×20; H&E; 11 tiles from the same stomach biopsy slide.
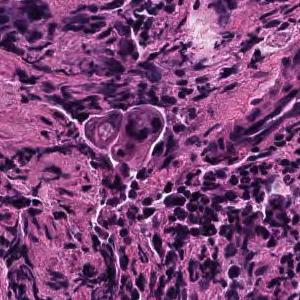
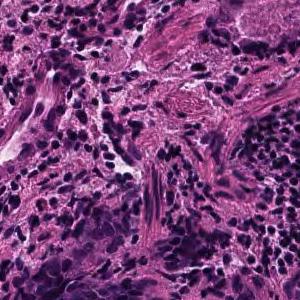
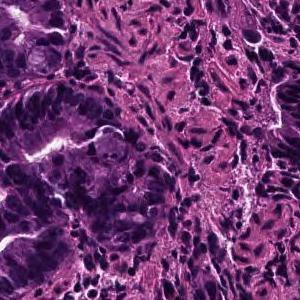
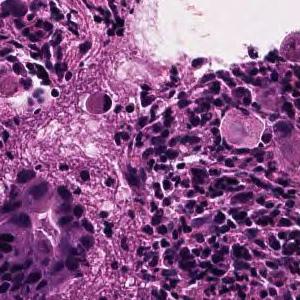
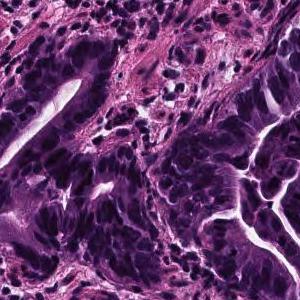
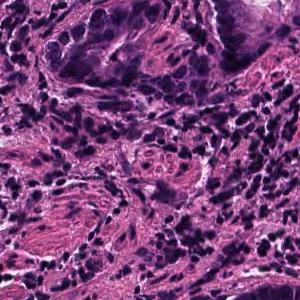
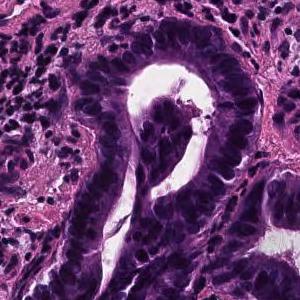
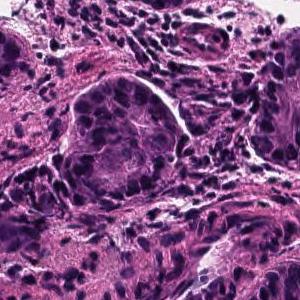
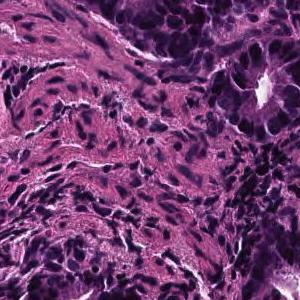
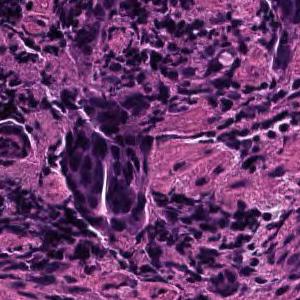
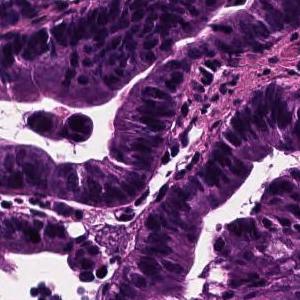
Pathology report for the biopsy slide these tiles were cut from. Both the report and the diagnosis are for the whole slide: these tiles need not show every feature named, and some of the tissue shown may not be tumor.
On the superficial epithelium, tumor tissue consisting of large, irregular glandular ducts partially fused and infiltrated is observed. Well to moderately differentiated tubular adenocarcinoma (well differentiated tubular adenocarcinoma, moderately differentiated tubular adenocarcinoma)
Histological subtype: Well to moderately differentiated tubular adenocarcinoma.
